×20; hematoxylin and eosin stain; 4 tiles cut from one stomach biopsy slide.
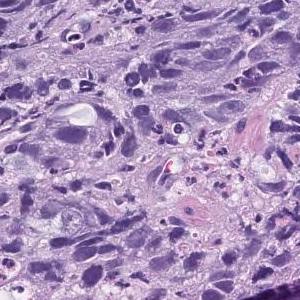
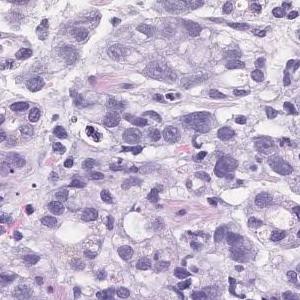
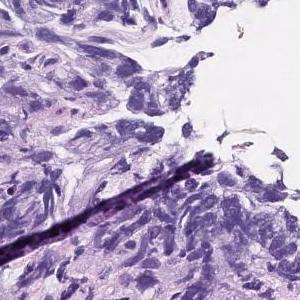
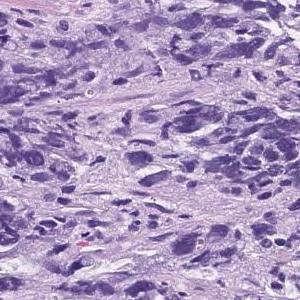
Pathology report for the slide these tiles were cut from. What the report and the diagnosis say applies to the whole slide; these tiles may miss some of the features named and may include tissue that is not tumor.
Atypical l cells with atypical nuclei forming solid vesicles or small irregular atypical ducts that proliferate in a complex manner. poorly differentiated adenocarcinoma, solid type, moderately differentiated tubular adenocarcinoma
"Solid type" is a category of the Japanese Classification of Gastric Carcinoma; in the WHO 2019 classification it is tubular adenocarcinoma, poorly differentiated.
